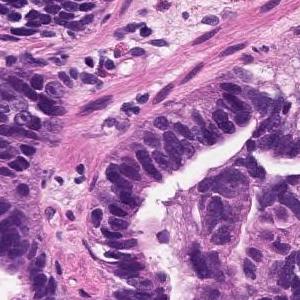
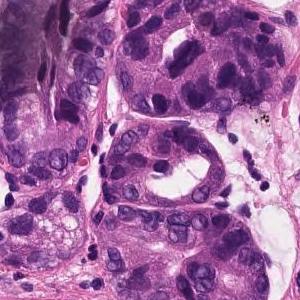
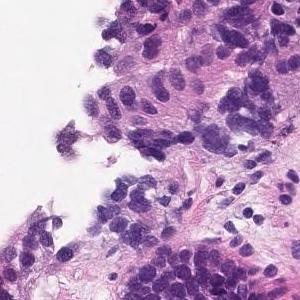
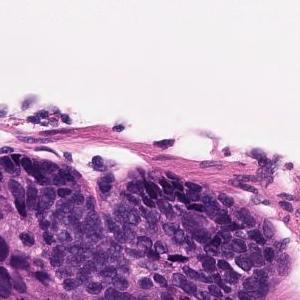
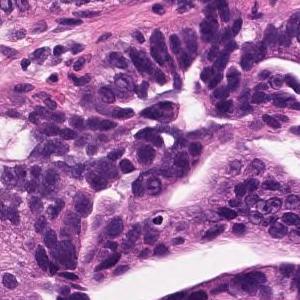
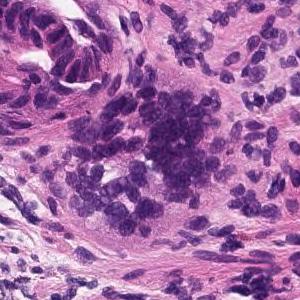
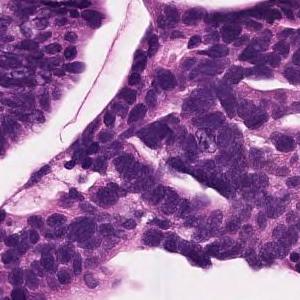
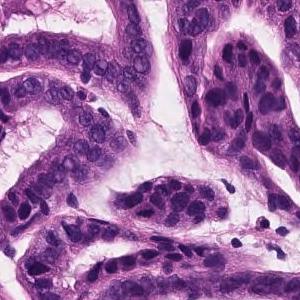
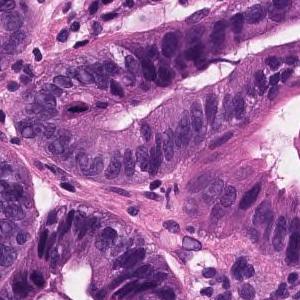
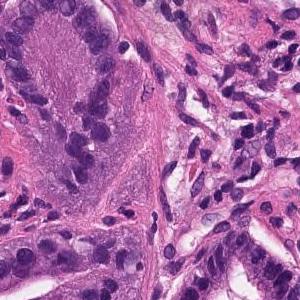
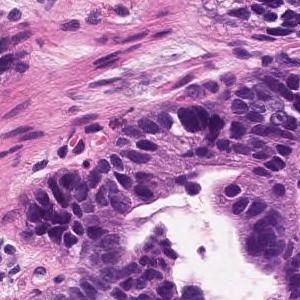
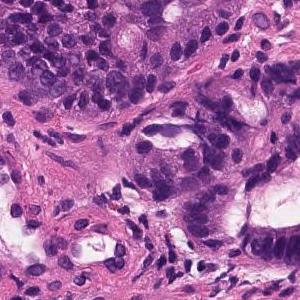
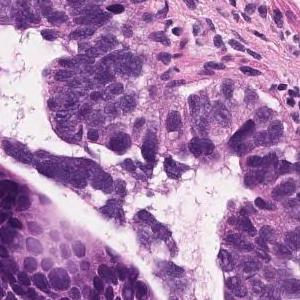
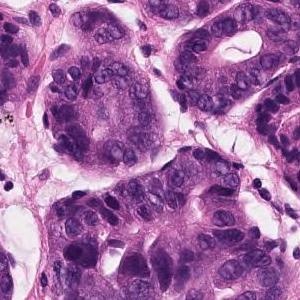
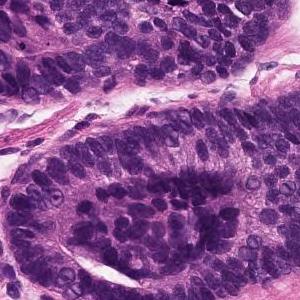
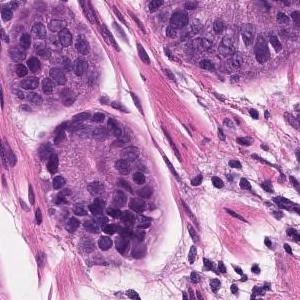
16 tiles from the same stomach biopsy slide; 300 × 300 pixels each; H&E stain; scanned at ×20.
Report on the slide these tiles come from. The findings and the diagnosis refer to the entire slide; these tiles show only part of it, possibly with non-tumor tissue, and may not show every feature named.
Atypical epithelium with tight nuclei shows irregular or sieving duct construction and proliferates. Well to moderately differentiated tubular adenocarcinoma (well differentiated tubular adenocarcinoma-moderately differentiated tubular adenocarcinoma)
Subtype: Well to moderately differentiated tubular adenocarcinoma.
